5 patches cut from one gastric biopsy slide · hematoxylin and eosin stain · scanned at ×20.
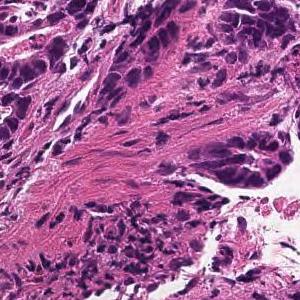
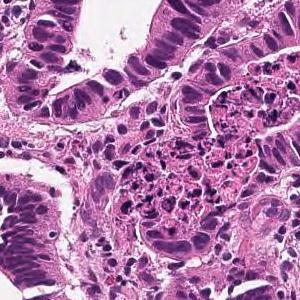
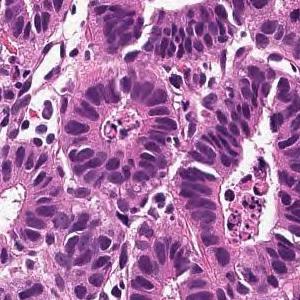
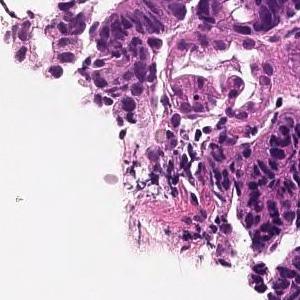
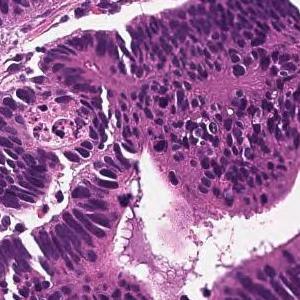
Pathology report for the biopsy slide these tiles were cut from. What the report and the diagnosis say applies to the whole slide; these tiles may miss some of the features named and may include tissue that is not tumor.
From the superficial epithelium to the muscularis mucosae, tumor tissue consisting of medium-sized and irregular glandular ducts infiltrating is observed. Well differentiated tubular adenocarcinoma
